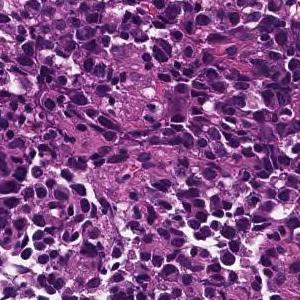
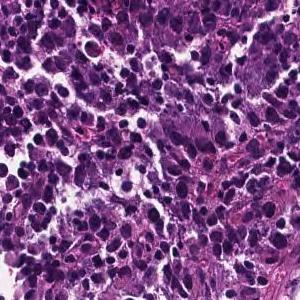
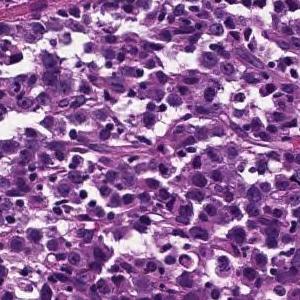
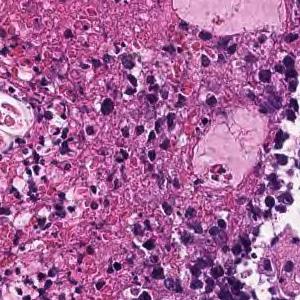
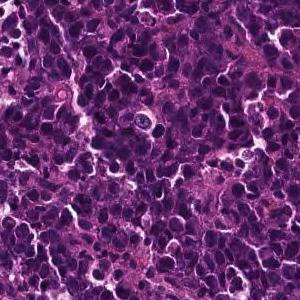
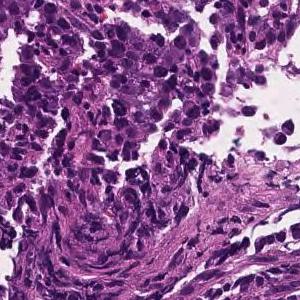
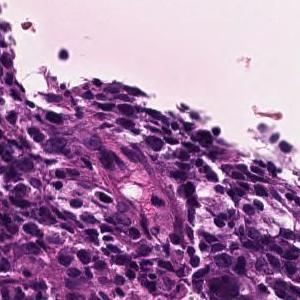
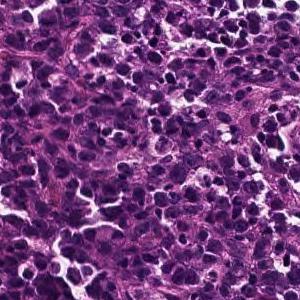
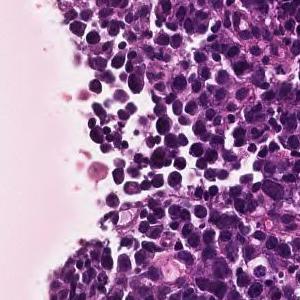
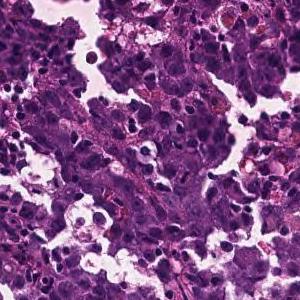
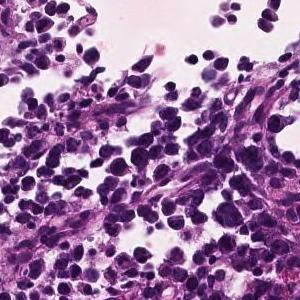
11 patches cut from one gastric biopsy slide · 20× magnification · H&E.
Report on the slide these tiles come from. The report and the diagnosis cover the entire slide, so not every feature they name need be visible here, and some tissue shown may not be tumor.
The superficial epithelium shows a large sheet-like shape, and some tumor tissue infiltrates with small irregular ducts. Poorly differentiated adenocarcinoma, solid-type
Histologic type: Poorly differentiated adenocarcinoma, solid type, a category of the Japanese Classification of Gastric Carcinoma; in the WHO 2019 classification it is tubular adenocarcinoma, poorly differentiated.
